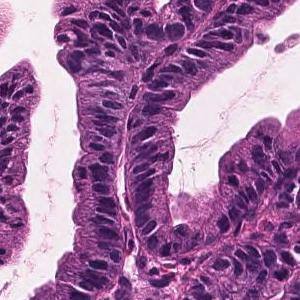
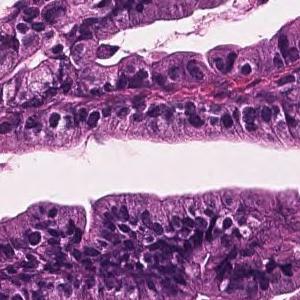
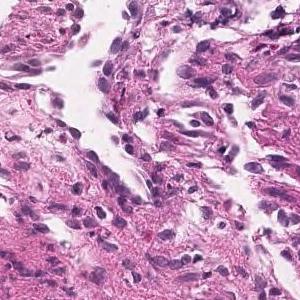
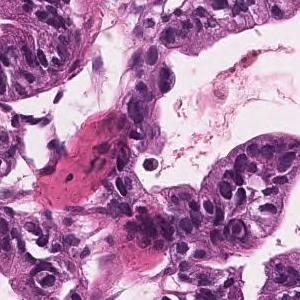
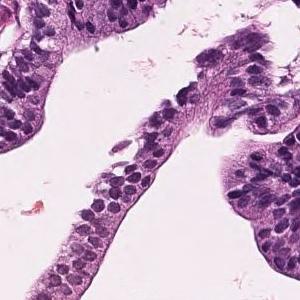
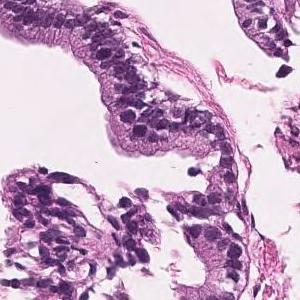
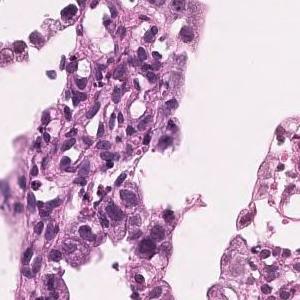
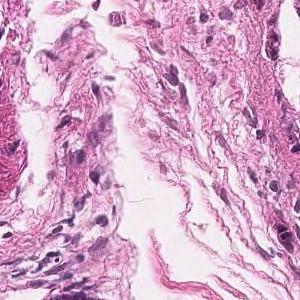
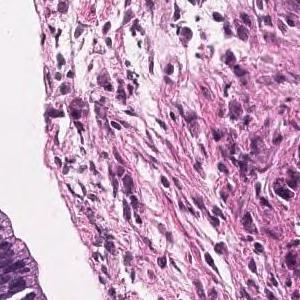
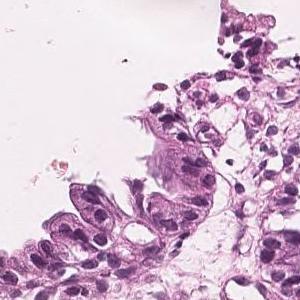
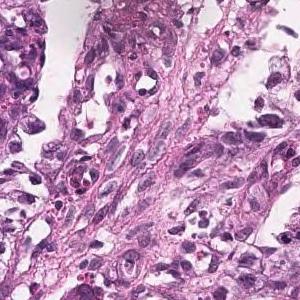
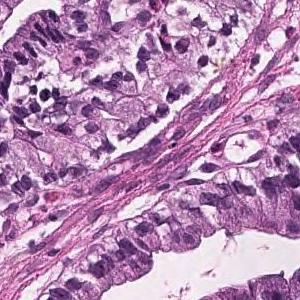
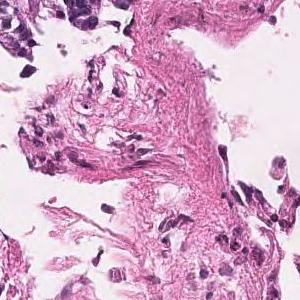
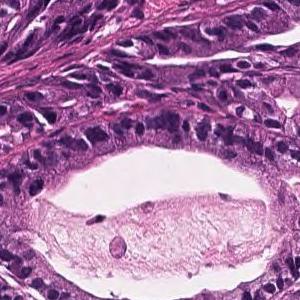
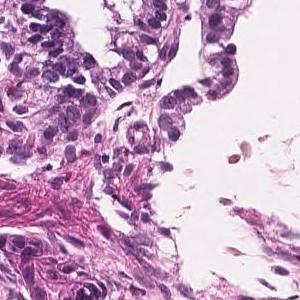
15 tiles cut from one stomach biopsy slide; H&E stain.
Pathology report for the slide these tiles were cut from. The findings and the diagnosis refer to the entire slide; these tiles show only part of it, possibly with non-tumor tissue, and may not show every feature named.
Tumor cells are large, highly columnar, large club-shaped nuclei, and are associated with chromatin aggregation. Papillary adenocarcinoma.
